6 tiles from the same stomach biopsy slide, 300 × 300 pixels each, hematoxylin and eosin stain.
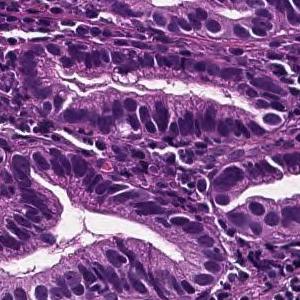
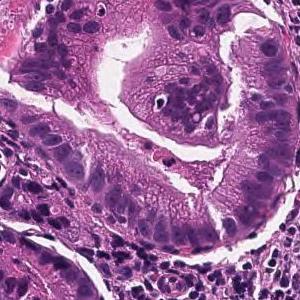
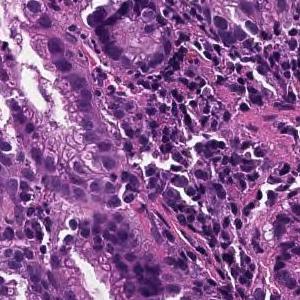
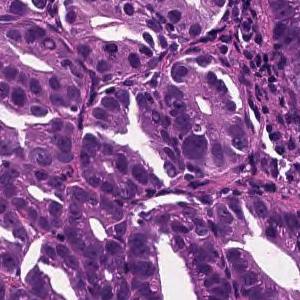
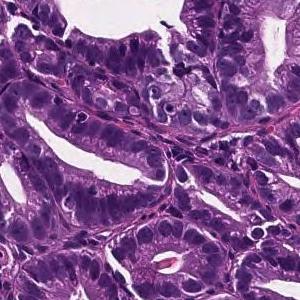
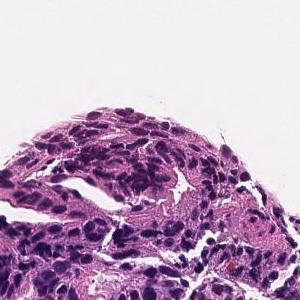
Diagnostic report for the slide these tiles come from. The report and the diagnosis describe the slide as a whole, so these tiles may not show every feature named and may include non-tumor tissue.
On the superficial epithelium, tumor tissue consisting of large irregular glandular ducts partially fused and infiltrated is observed. Well to moderately differentiated tubular adenocarcinoma (well differentiated tubular adenocarcinoma, moderately differentiated tubular adenocarcinoma)
Histological subtype: Well to moderately differentiated tubular adenocarcinoma.
